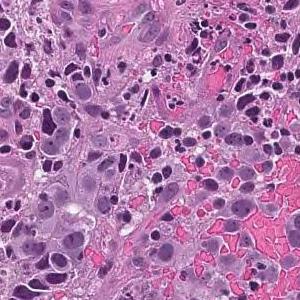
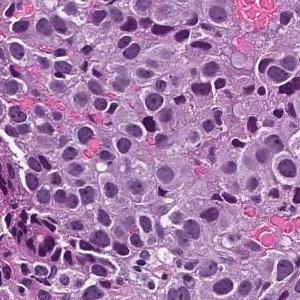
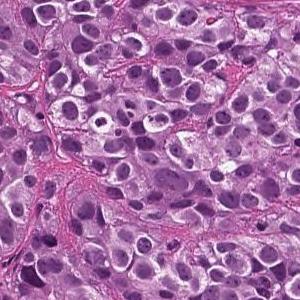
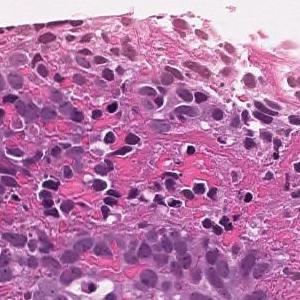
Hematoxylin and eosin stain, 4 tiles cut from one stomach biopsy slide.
Report on the slide these tiles come from. What the report and the diagnosis say applies to the whole slide; these tiles may miss some of the features named and may include tissue that is not tumor.
The superficial epithelium shows a large sheet-like shape, and some tumor tissue infiltrates with small irregular ducts. Poorly differentiated adenocarcinoma, solid-type
Classified as poorly differentiated adenocarcinoma, solid type, a category of the Japanese Classification of Gastric Carcinoma; in the WHO 2019 classification it is tubular adenocarcinoma, poorly differentiated.
